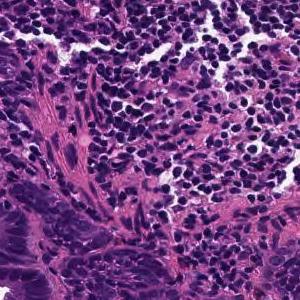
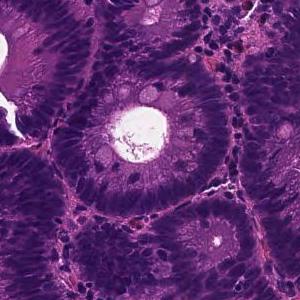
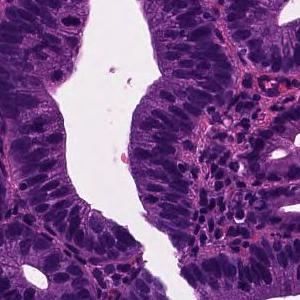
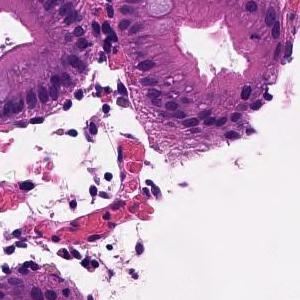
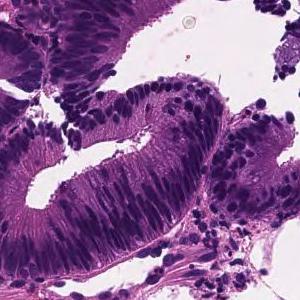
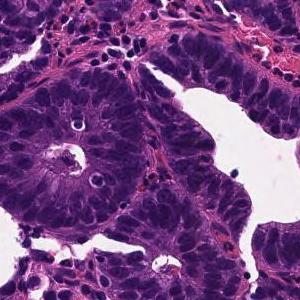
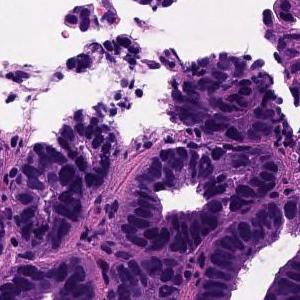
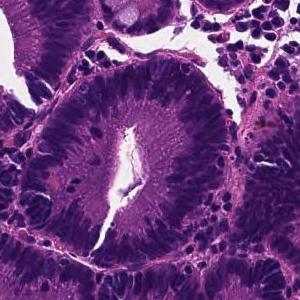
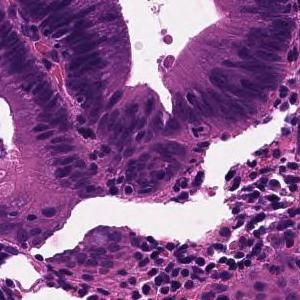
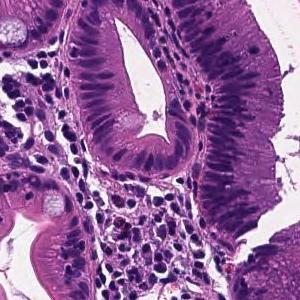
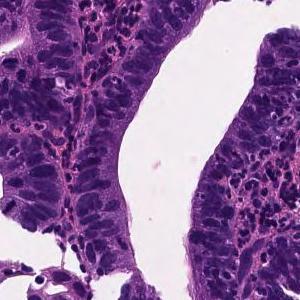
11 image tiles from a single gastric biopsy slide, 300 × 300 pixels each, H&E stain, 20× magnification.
Report on the slide these tiles come from. The report describes the whole slide, diagnosis included: not every finding it names need appear in these tiles, which may also show non-tumor tissue.
Tumor tissue in which medium to small irregular ducts infiltrate and proliferate in the submucosa can be seen in the epithelium. Well differentiated tubular adenocarcinoma
